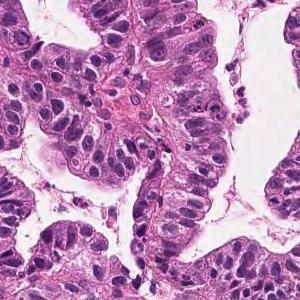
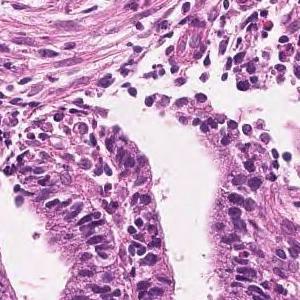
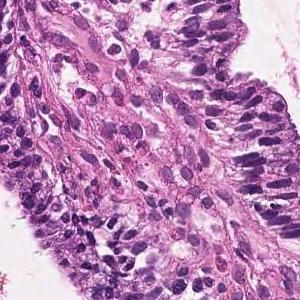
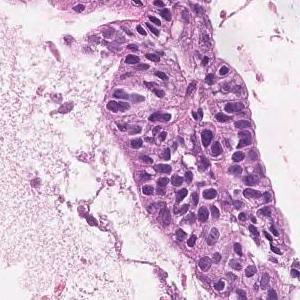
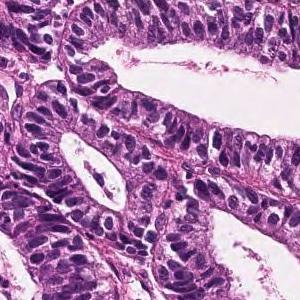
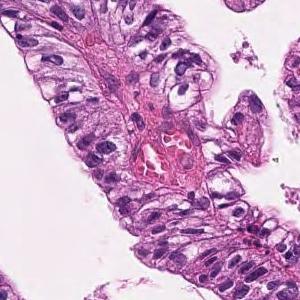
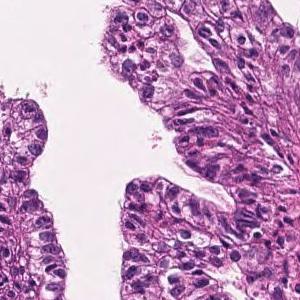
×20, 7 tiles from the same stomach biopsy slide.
Pathology report for the biopsy slide these tiles were cut from. The findings and the diagnosis refer to the entire slide; these tiles show only part of it, possibly with non-tumor tissue, and may not show every feature named.
Tumor cells are large, highly columnar, large club-shaped nuclei, and are associated with chromatin aggregation. Papillary adenocarcinoma.
